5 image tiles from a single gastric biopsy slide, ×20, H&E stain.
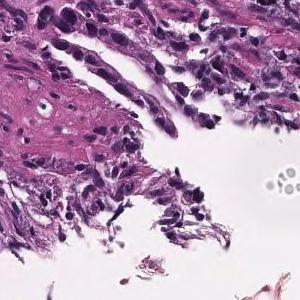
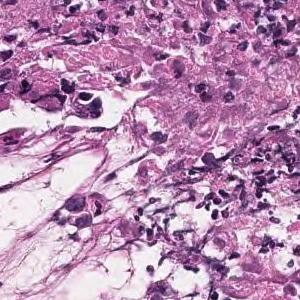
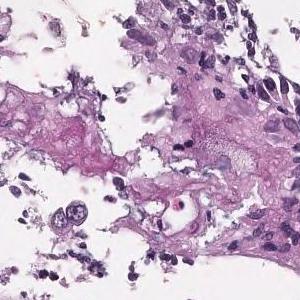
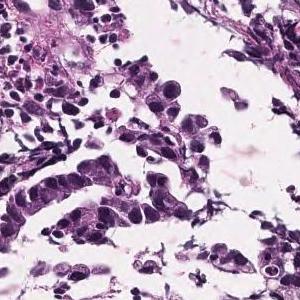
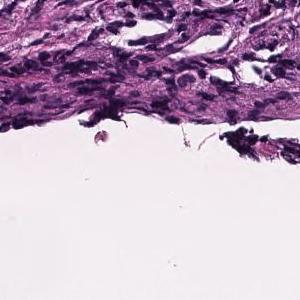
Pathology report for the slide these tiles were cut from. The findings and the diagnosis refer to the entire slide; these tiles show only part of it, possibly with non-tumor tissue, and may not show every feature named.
In the superficial epithelium, tumor tissue that invades by forming medium-sized to small, irregular ducts is observed. moderately differentiated tubular adenocarcinoma.
